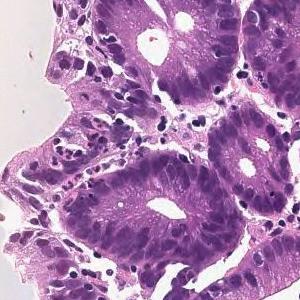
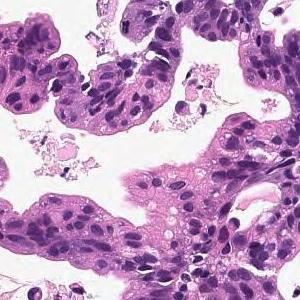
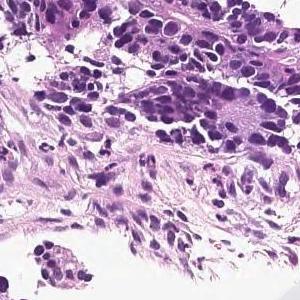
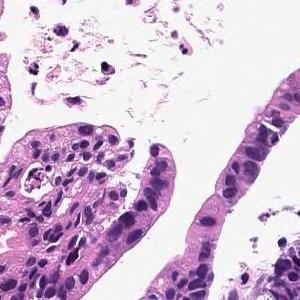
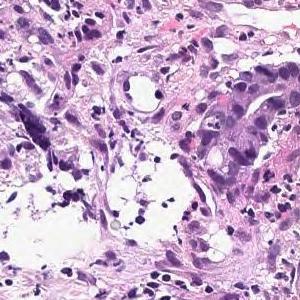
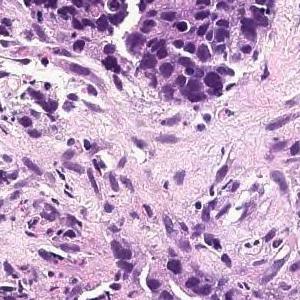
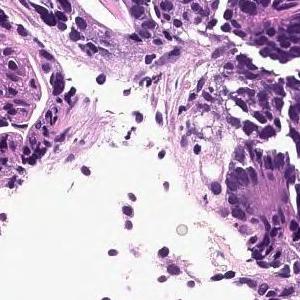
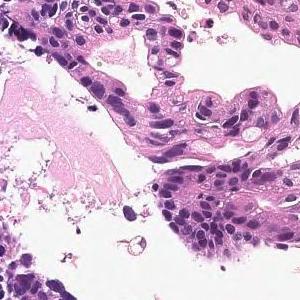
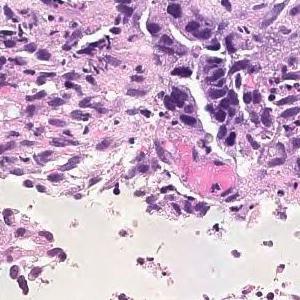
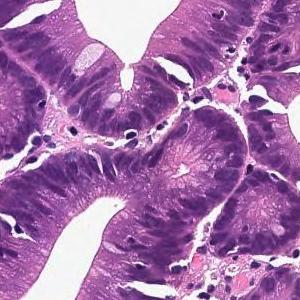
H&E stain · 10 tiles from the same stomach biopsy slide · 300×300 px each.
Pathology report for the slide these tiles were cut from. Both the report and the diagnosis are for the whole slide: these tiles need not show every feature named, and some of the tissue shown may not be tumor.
In the superficial epithelium, tumor tissue that invades by forming medium-sized to small, irregular ducts is observed. moderately differentiated tubular adenocarcinoma.
